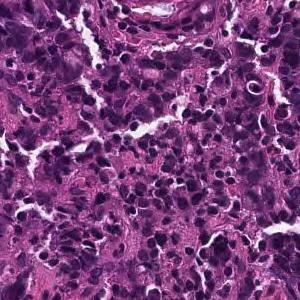
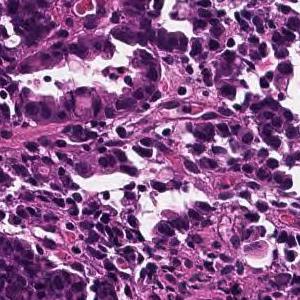
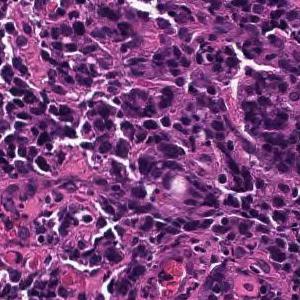
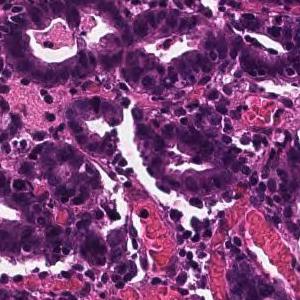
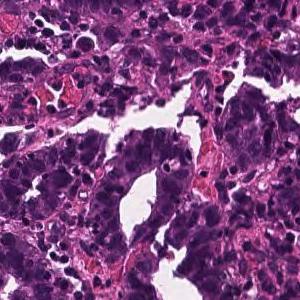
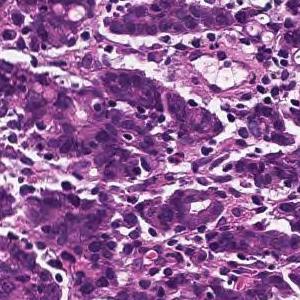
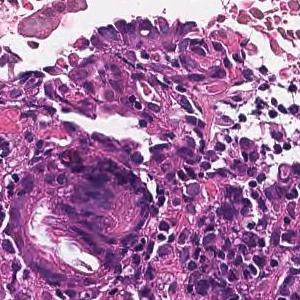
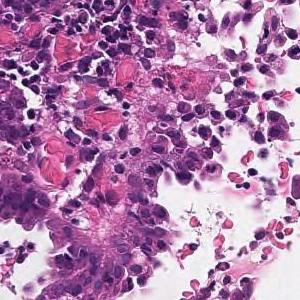
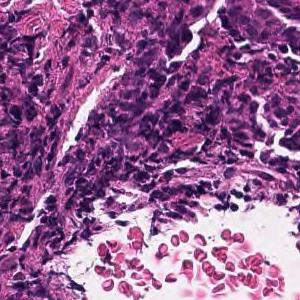
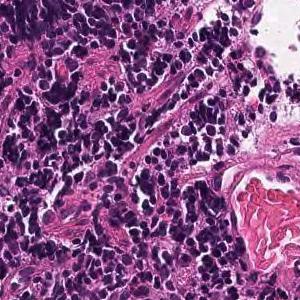
10 tiles from the same stomach biopsy slide, ×20, H&E.
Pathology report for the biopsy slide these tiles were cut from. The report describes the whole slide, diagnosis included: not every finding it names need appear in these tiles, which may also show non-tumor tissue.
In the superficial epithelium, tumor tissue that invades by forming medium-sized to small, irregular ducts is observed. moderately differentiated tubular adenocarcinoma.
